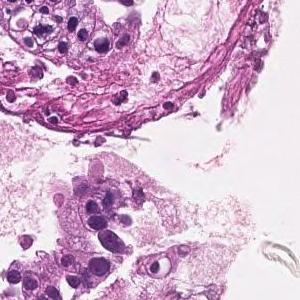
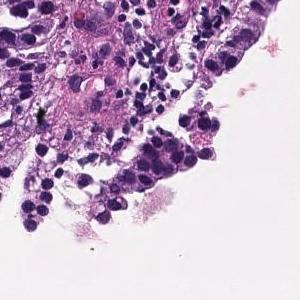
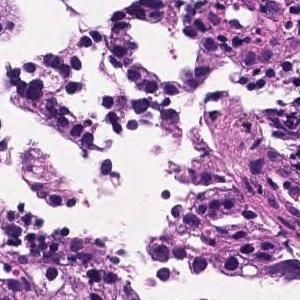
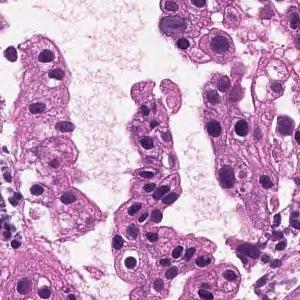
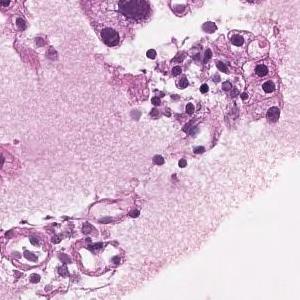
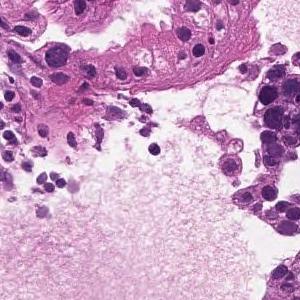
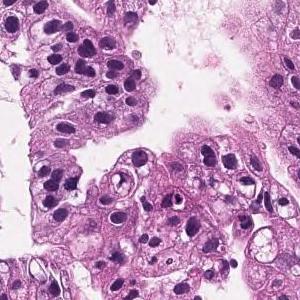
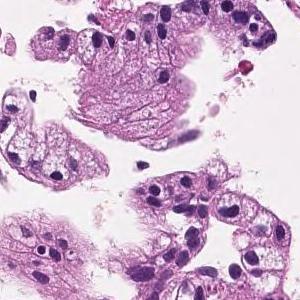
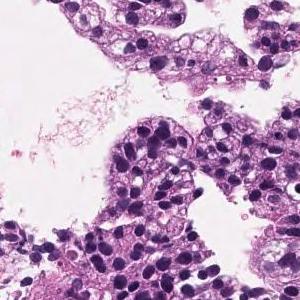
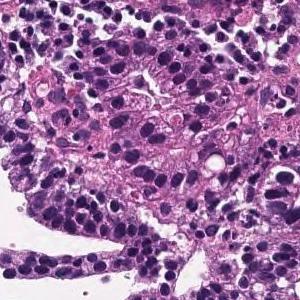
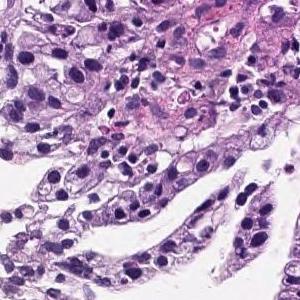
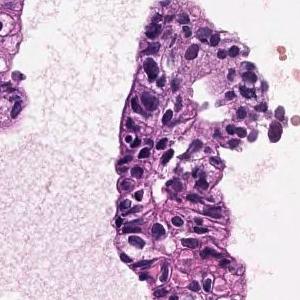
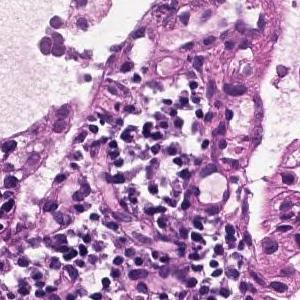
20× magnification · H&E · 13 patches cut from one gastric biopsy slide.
Report on the slide these tiles come from. The report describes the whole slide, diagnosis included: not every finding it names need appear in these tiles, which may also show non-tumor tissue.
On the superficial epithelium, tumor tissue that infiltrates by forming medium-sized papillary or small irregular ducts is observed. Papillary adenocarcinoma
